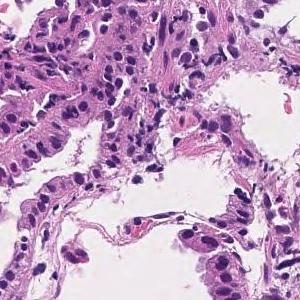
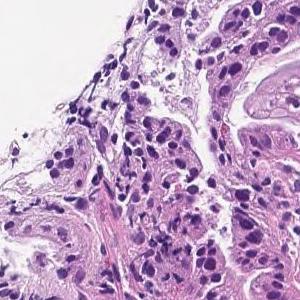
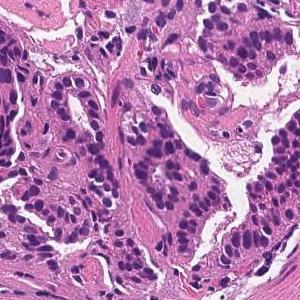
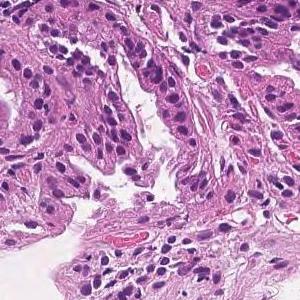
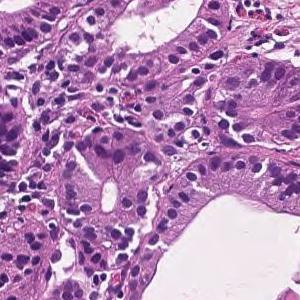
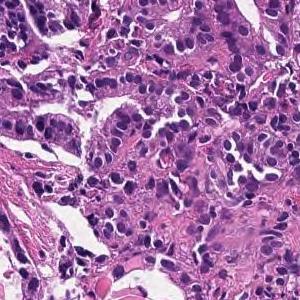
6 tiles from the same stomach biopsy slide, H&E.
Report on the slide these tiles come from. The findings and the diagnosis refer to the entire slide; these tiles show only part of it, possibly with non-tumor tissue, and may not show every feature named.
On the superficial epithelium, tumor tissue that infiltrates by forming medium-sized papillary or small irregular ducts is observed. Papillary adenocarcinoma (Papillary adenocarcinoma)
Histological subtype: Papillary adenocarcinoma.
